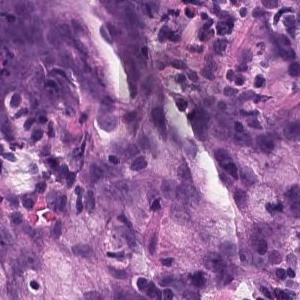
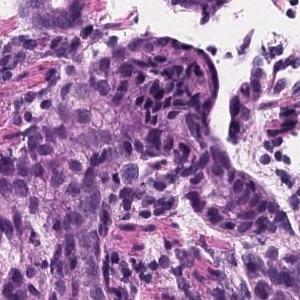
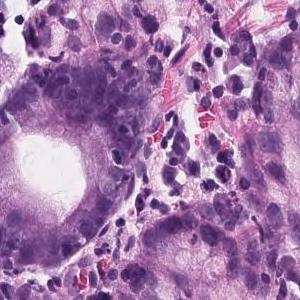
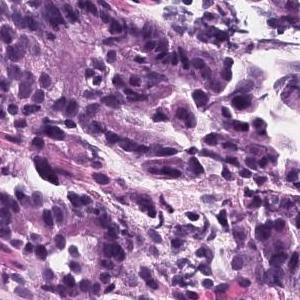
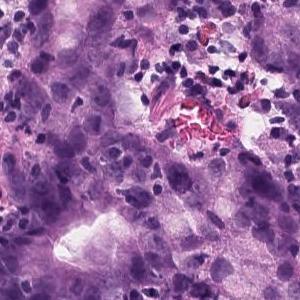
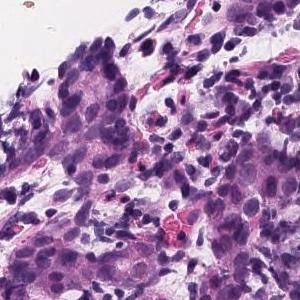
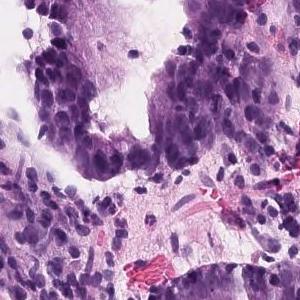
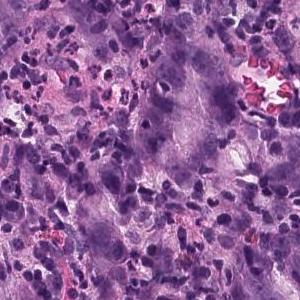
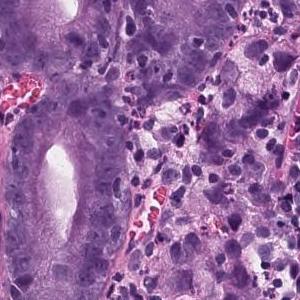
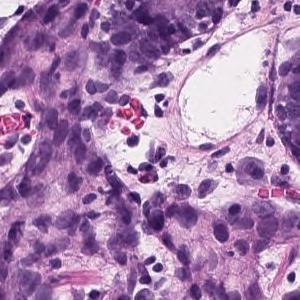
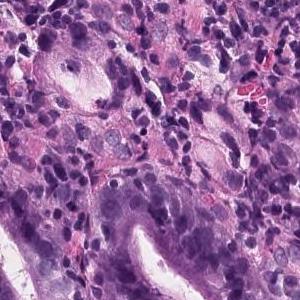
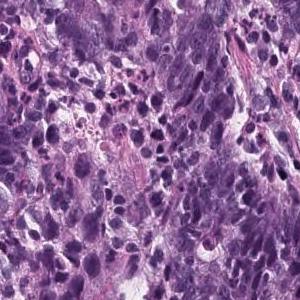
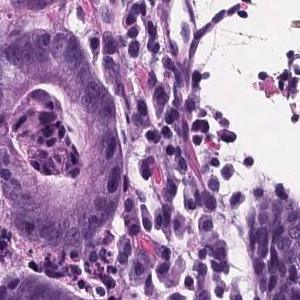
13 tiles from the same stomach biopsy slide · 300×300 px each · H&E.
The pathologist's report on the biopsy slide these tiles were taken from. Both the report and the diagnosis are for the whole slide: these tiles need not show every feature named, and some of the tissue shown may not be tumor.
In the superficial epithelium, tumor tissue that invades by forming medium-sized to small, irregular ducts is observed. Moderately differentiated adenocarcinoma.
Histologic type: Moderately differentiated tubular adenocarcinoma.
